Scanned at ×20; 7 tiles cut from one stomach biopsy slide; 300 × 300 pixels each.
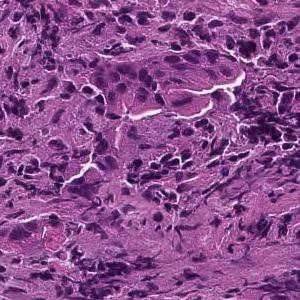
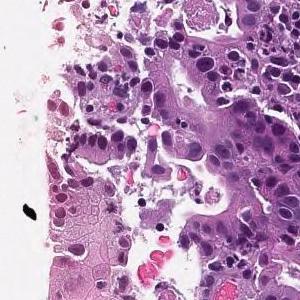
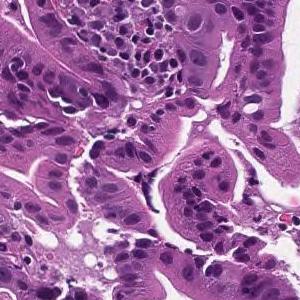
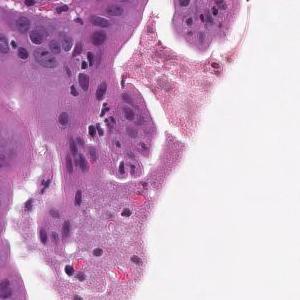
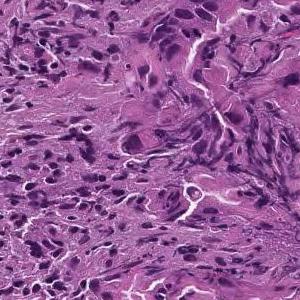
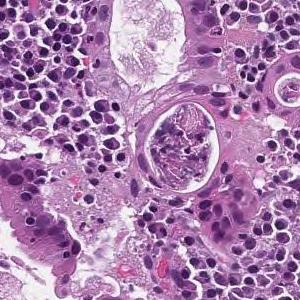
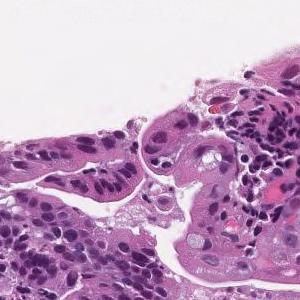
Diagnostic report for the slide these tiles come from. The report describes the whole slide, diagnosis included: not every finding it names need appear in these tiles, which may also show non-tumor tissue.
From the superficial epithelium to the muscularis mucosae, tumor tissue consisting of medium-sized and irregular glandular ducts infiltrating is observed. Well differentiated tubular adenocarcinoma
